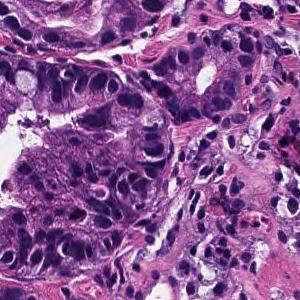
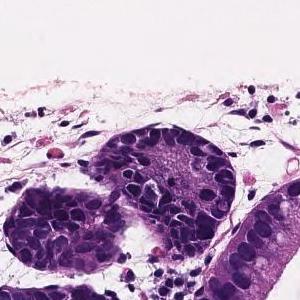
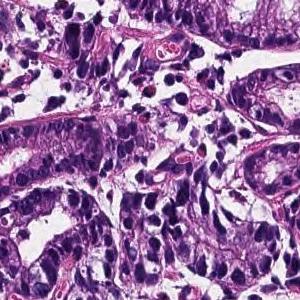
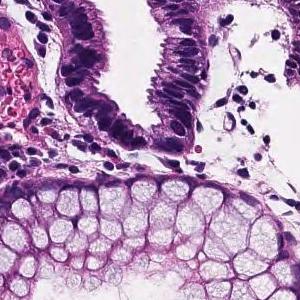
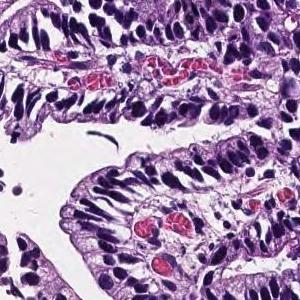
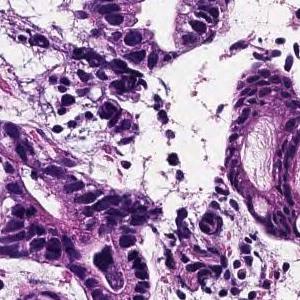
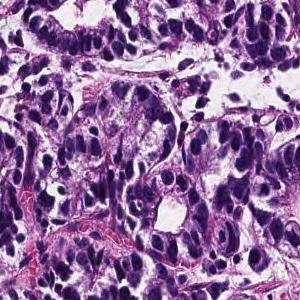
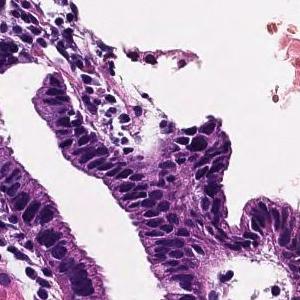
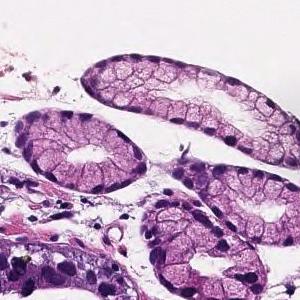
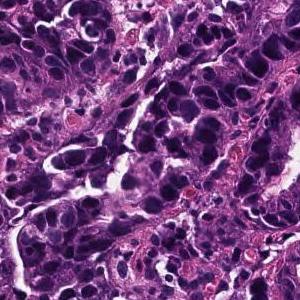
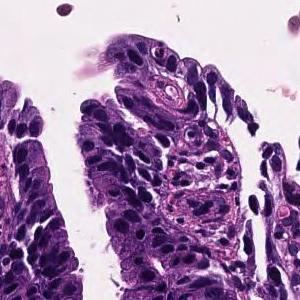
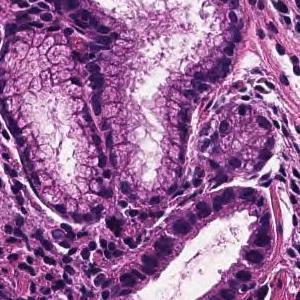
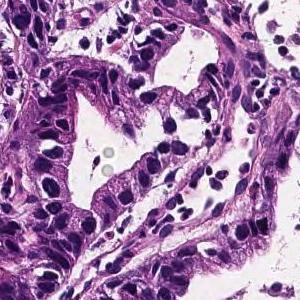
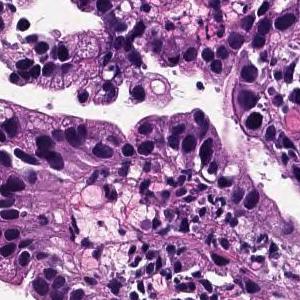
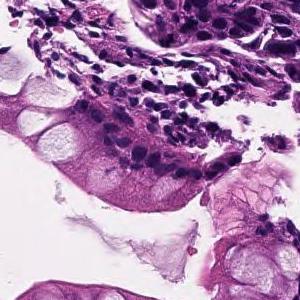
15 tiles cut from one stomach biopsy slide · 300×300 px each · H&E · scanned at ×20.
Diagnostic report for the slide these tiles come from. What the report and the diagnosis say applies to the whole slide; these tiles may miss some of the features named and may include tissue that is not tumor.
Tumor cells are large, highly columnar, large club-shaped nuclei, and are associated with chromatin aggregation. Papillary adenocarcinoma.
